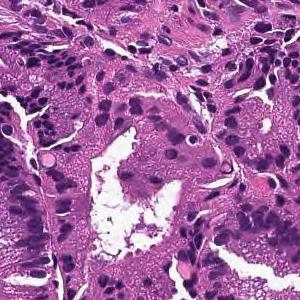
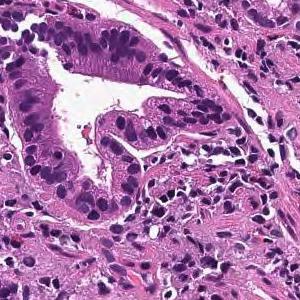
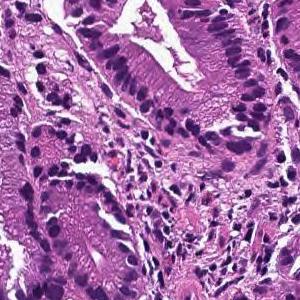
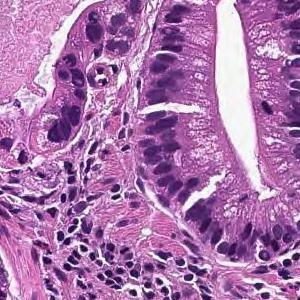
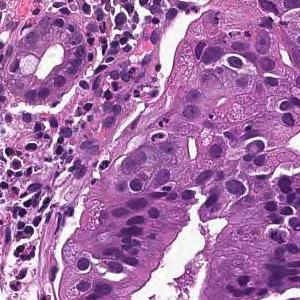
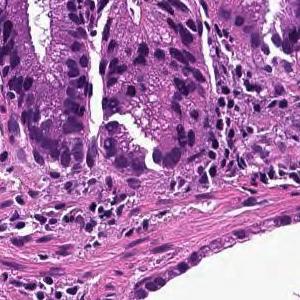
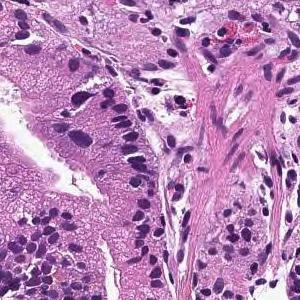
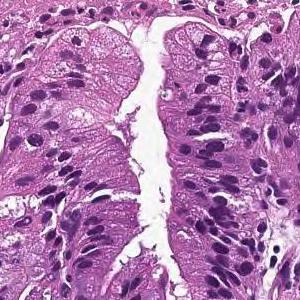
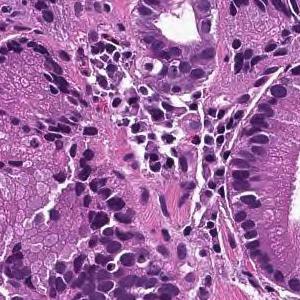
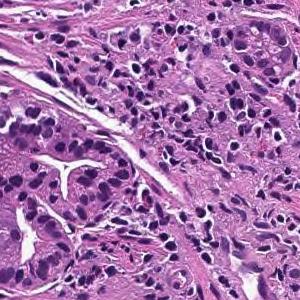
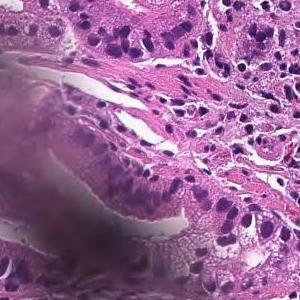
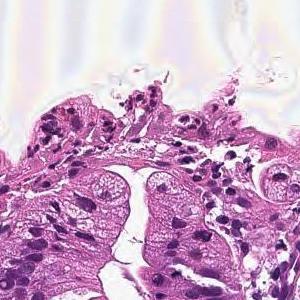
12 tiles cut from one stomach biopsy slide; 300 × 300 pixels each; H&E; scanned at ×20.
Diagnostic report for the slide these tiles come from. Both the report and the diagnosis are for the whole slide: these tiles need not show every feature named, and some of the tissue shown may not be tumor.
Tumor cells are large, highly columnar, large club-shaped nuclei, and are associated with chromatin aggregation. Papillary adenocarcinoma.
